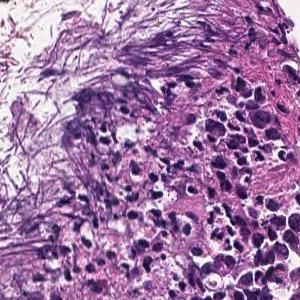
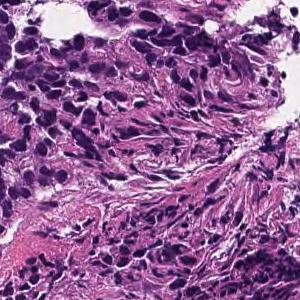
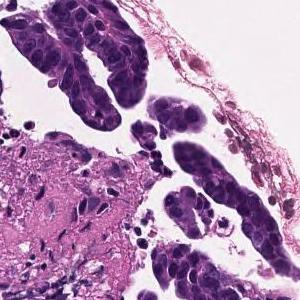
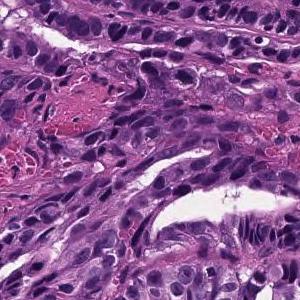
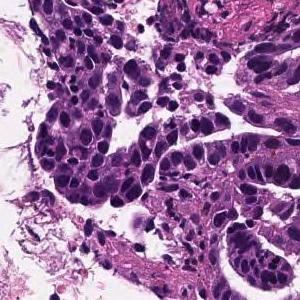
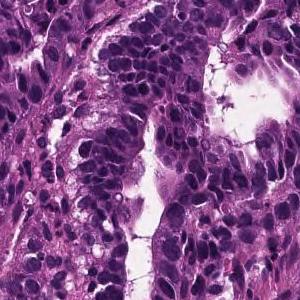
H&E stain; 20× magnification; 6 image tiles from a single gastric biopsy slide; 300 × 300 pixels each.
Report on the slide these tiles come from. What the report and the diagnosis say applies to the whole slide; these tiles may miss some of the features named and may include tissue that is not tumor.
Tumor cells are large, highly columnar, large club-shaped nuclei, and are associated with chromatin aggregation. Papillary adenocarcinoma.
